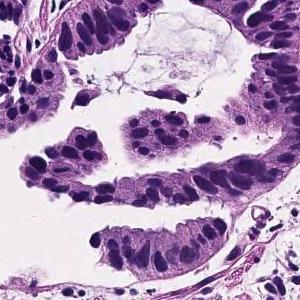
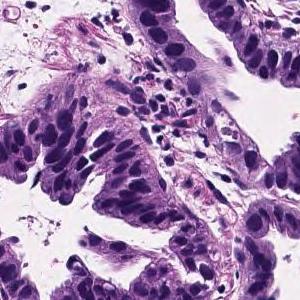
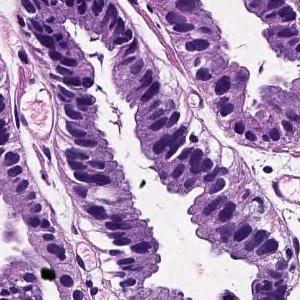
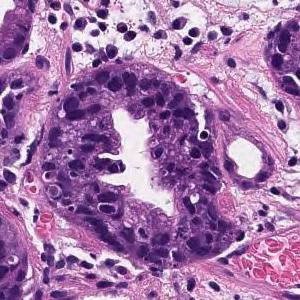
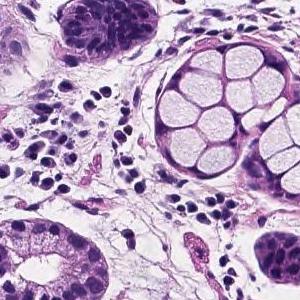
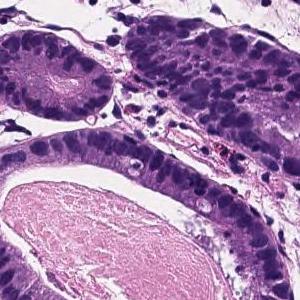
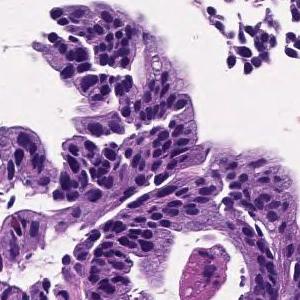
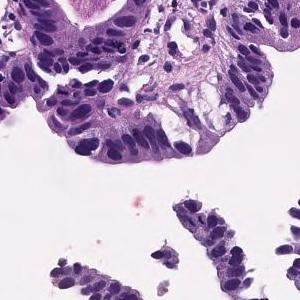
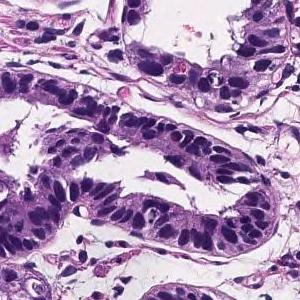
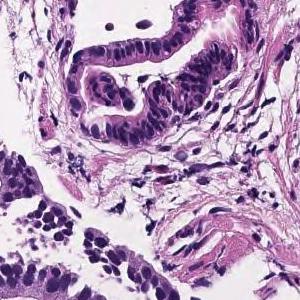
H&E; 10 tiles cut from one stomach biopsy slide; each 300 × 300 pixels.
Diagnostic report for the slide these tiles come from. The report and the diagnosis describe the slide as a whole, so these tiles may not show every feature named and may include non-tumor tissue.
Tumor cells are large, highly columnar, large club-shaped nuclei, and are associated with chromatin aggregation. Papillary adenocarcinoma.
